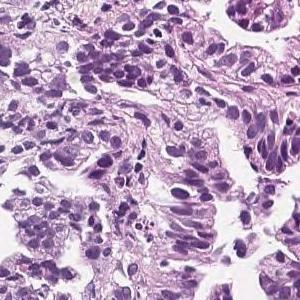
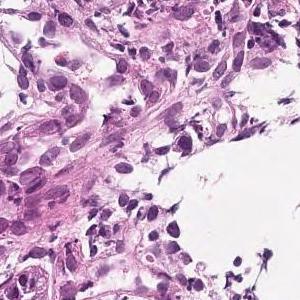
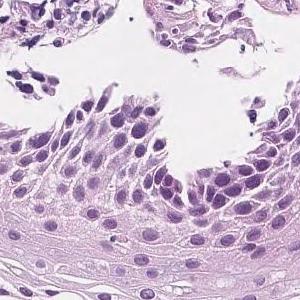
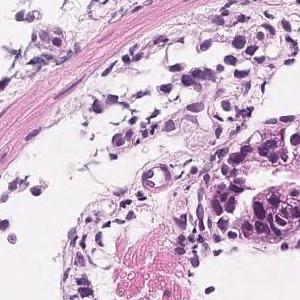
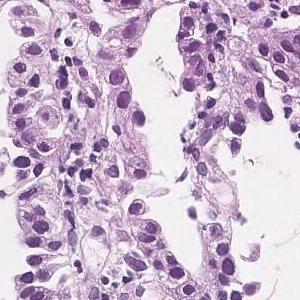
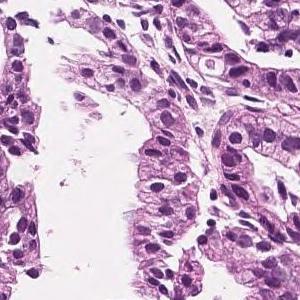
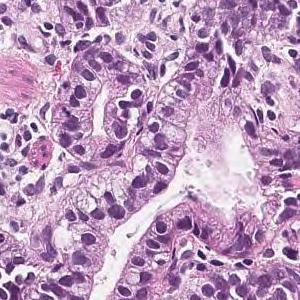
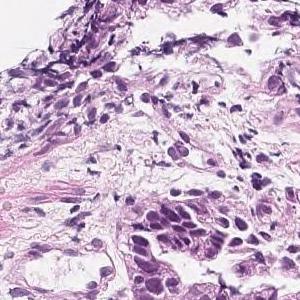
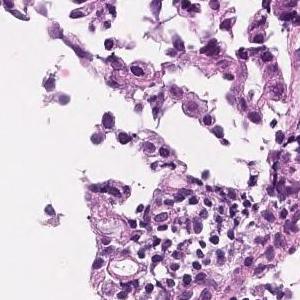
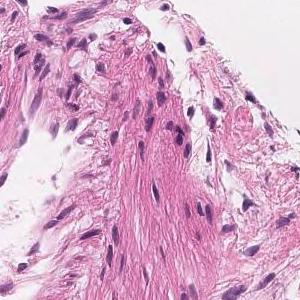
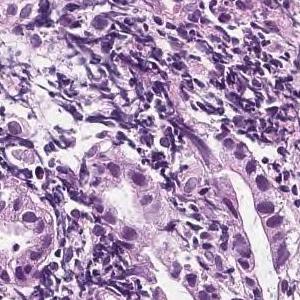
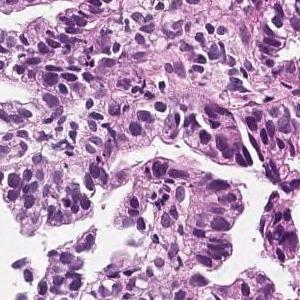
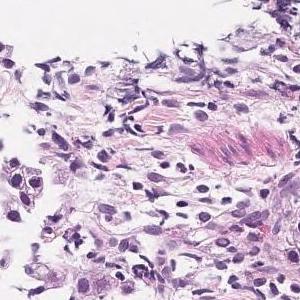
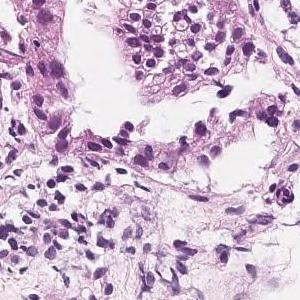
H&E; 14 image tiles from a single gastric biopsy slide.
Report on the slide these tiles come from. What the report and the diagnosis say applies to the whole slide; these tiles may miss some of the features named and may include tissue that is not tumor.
In the superficial epithelium, tumor tissue that invades by forming medium-sized to small, irregular ducts is observed. moderately differentiated tubular adenocarcinoma.
